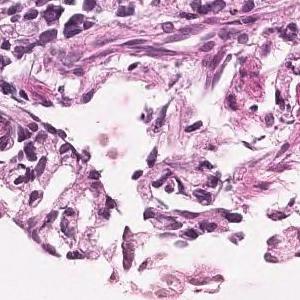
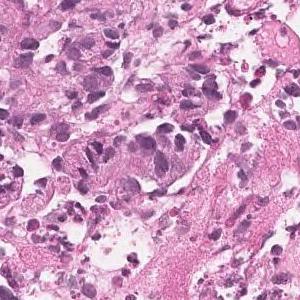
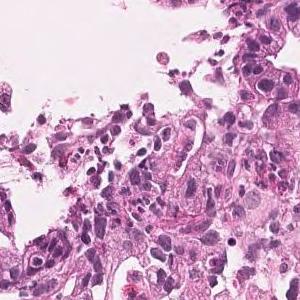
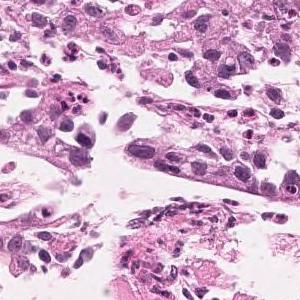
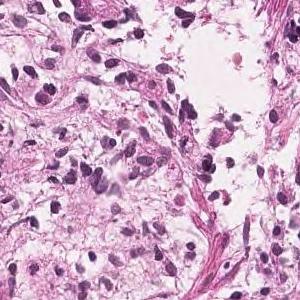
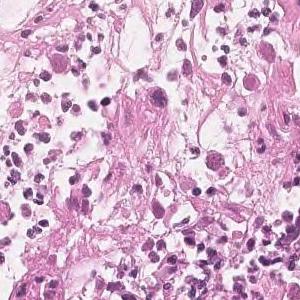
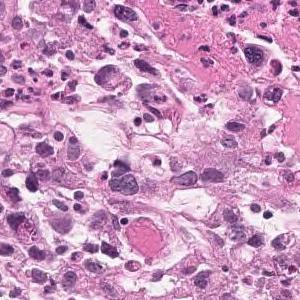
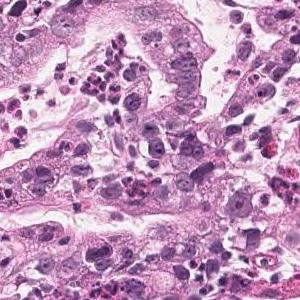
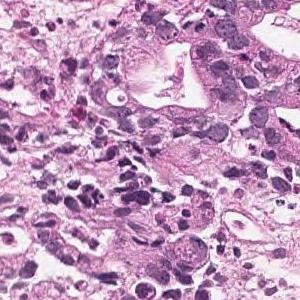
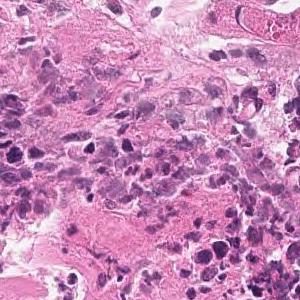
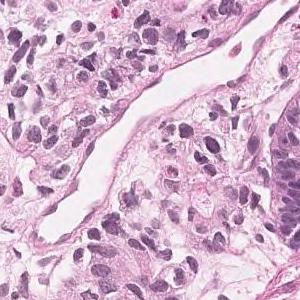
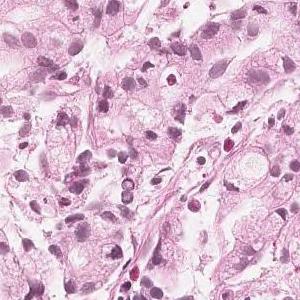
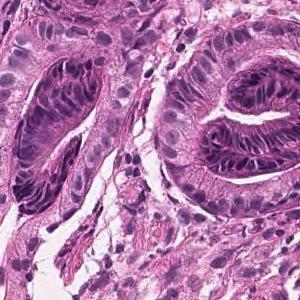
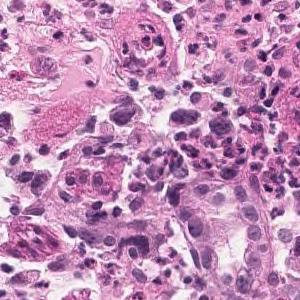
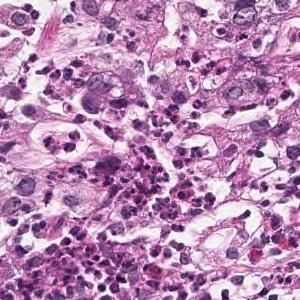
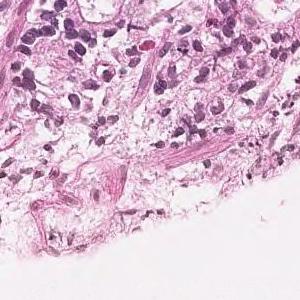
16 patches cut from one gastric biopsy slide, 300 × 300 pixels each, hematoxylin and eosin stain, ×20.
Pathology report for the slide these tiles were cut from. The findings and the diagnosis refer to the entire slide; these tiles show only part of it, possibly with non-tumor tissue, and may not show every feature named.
In the superficial epithelium, medium to small irregular gland ducts are formed, and in some cases, the ducts are fused to show solid alveolar lesions and infiltrating tumor tissue is observed. Moderately to poorly differentiated adenocarcinoma
